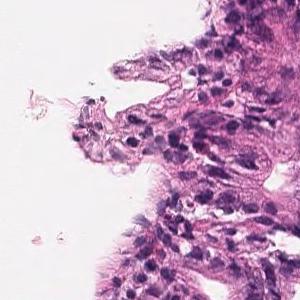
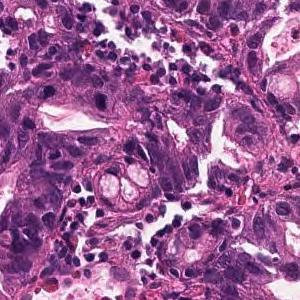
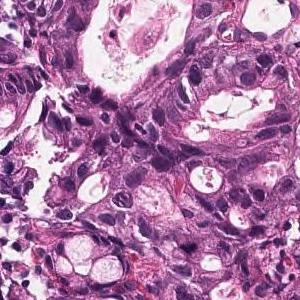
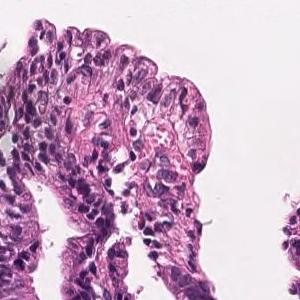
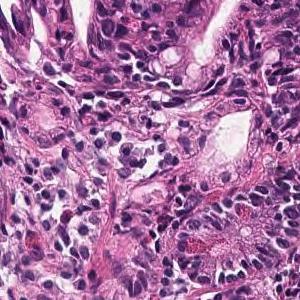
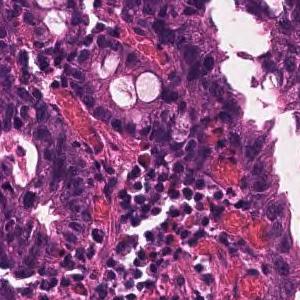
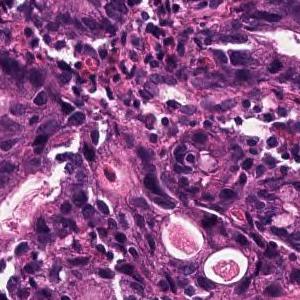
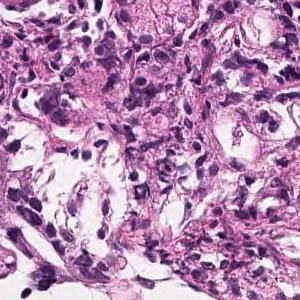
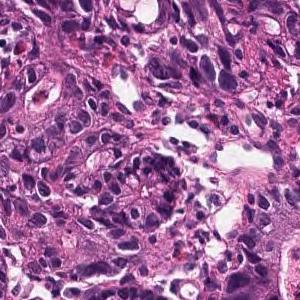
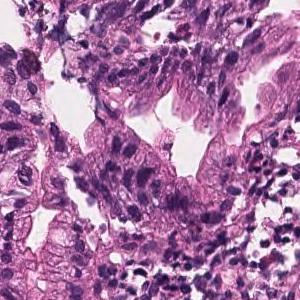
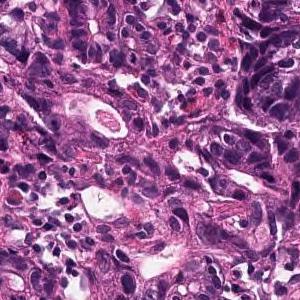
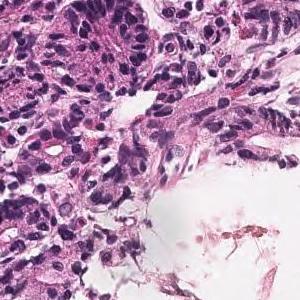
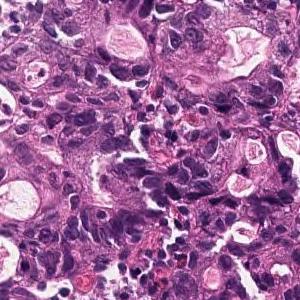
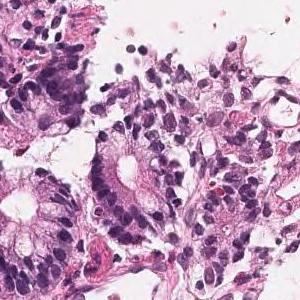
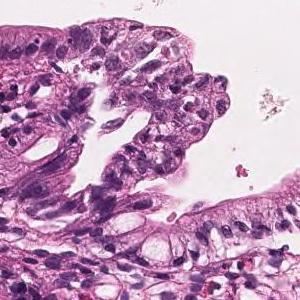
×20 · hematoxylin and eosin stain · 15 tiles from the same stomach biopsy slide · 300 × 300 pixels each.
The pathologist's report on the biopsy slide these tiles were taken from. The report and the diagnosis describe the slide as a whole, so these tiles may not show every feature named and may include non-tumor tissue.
On the superficial epithelium, tumor tissue consisting of large, irregular glandular ducts partially fused and infiltrated is observed. Well to moderately differentiated tubular adenocarcinoma (well differentiated tubular adenocarcinoma, moderately differentiated tubular adenocarcinoma)
Subtype: Well to moderately differentiated tubular adenocarcinoma.
